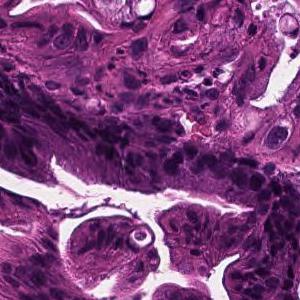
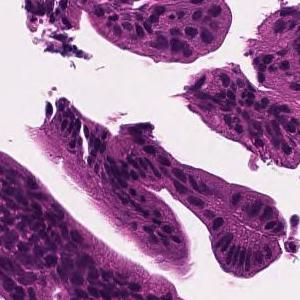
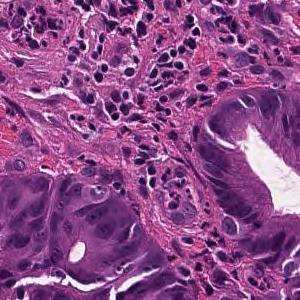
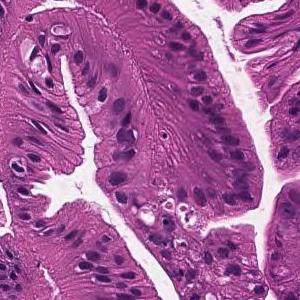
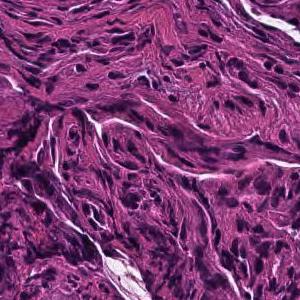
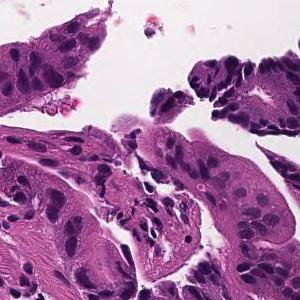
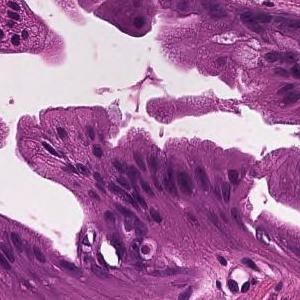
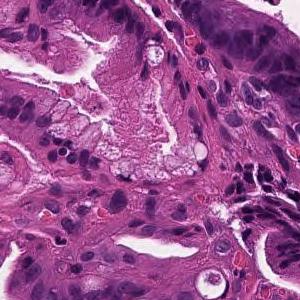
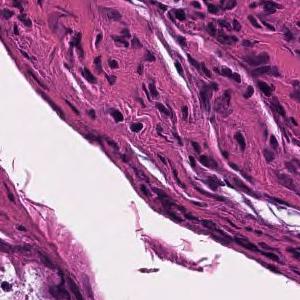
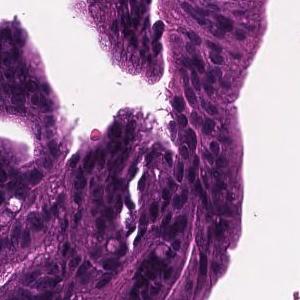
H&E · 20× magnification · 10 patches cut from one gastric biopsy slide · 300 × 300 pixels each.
Pathology report for the biopsy slide these tiles were cut from. The findings and the diagnosis refer to the entire slide; these tiles show only part of it, possibly with non-tumor tissue, and may not show every feature named.
Tumor cells are large, highly columnar, large club-shaped nuclei, and are associated with chromatin aggregation. Papillary adenocarcinoma.
